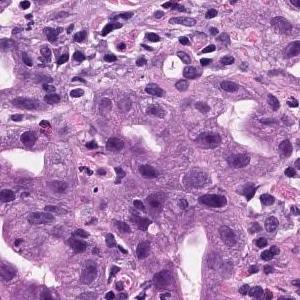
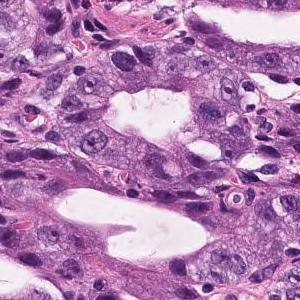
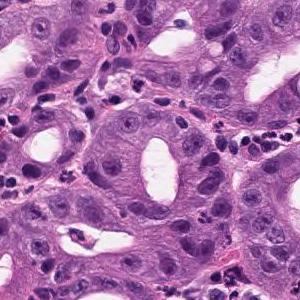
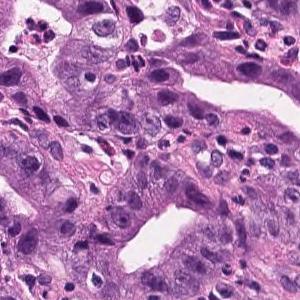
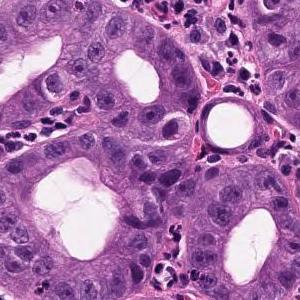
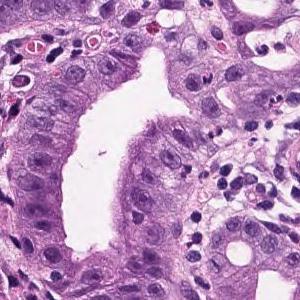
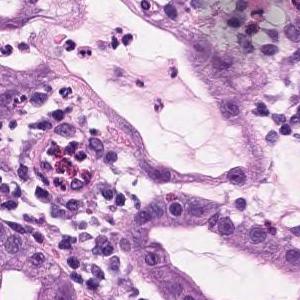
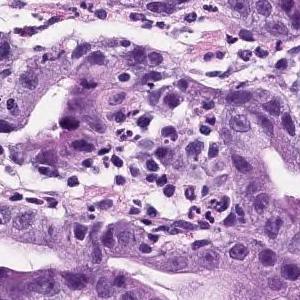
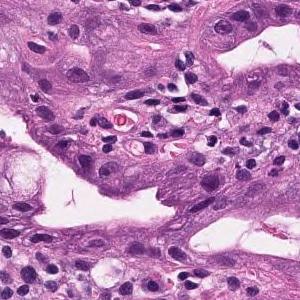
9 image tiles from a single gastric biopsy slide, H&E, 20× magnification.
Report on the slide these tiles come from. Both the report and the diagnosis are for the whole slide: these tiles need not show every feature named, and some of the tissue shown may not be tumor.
In the superficial epithelium, tumor tissue that invades by forming medium-sized to small, irregular ducts is observed. Well to moderately differentiated adenocarcinoma (well differentiated tubular adenocarcinoma, moderately differentiated tubular adenocarcinoma).
Histological subtype: Well to moderately differentiated tubular adenocarcinoma.
